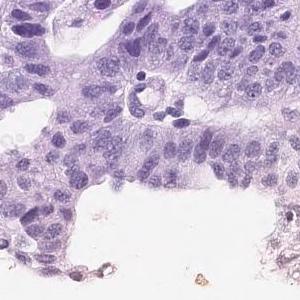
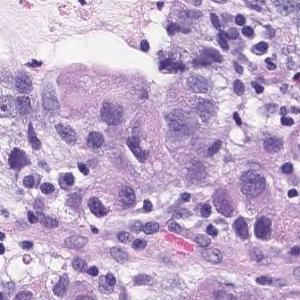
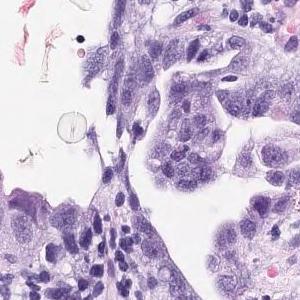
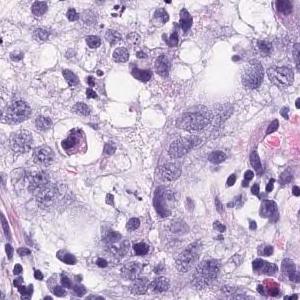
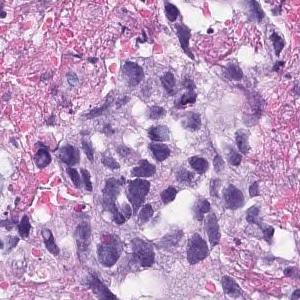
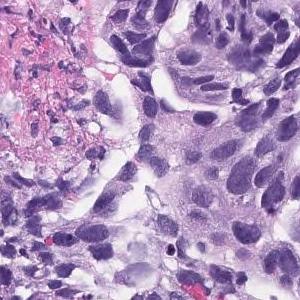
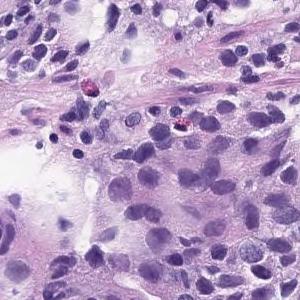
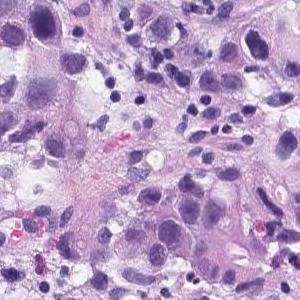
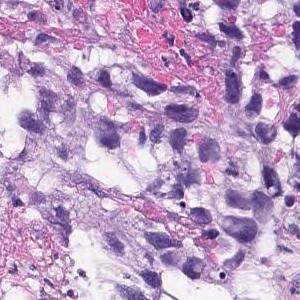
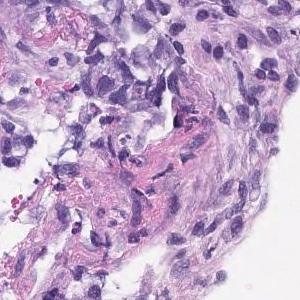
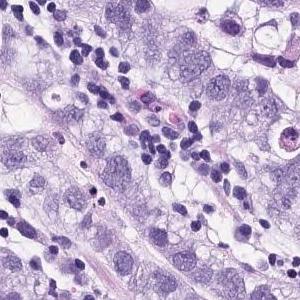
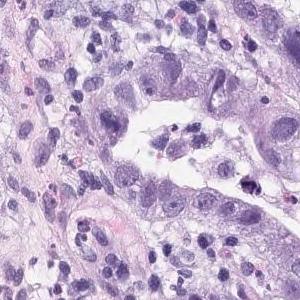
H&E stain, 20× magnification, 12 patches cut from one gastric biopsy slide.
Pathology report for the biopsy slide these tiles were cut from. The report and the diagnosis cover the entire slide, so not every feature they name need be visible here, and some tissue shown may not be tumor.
In the superficial epithelium, tumor tissue that invades by forming medium-sized to small, irregular ducts is observed. Moderately differentiated adenocarcinoma.
Histologic type: Moderately differentiated tubular adenocarcinoma.
